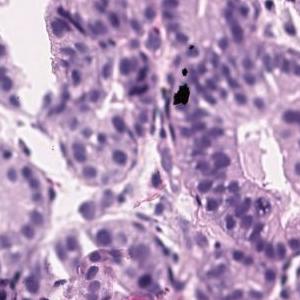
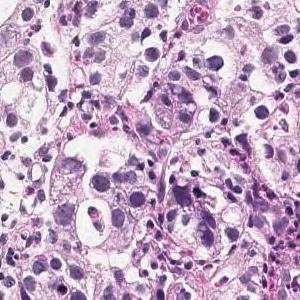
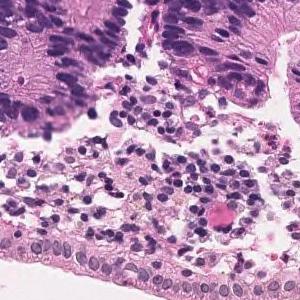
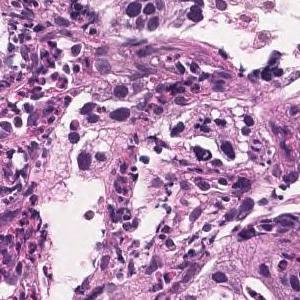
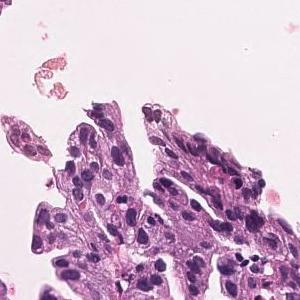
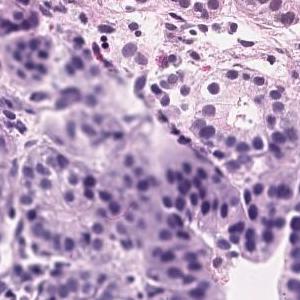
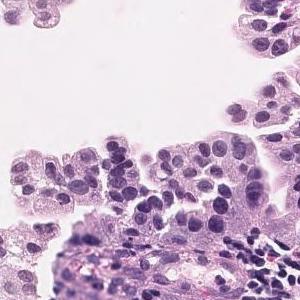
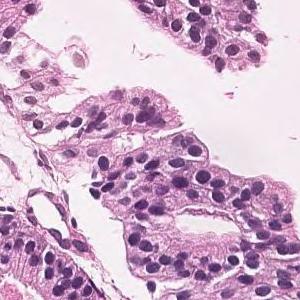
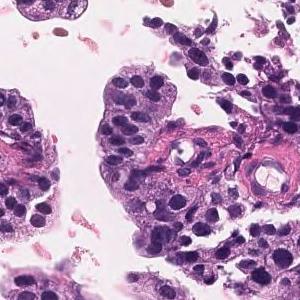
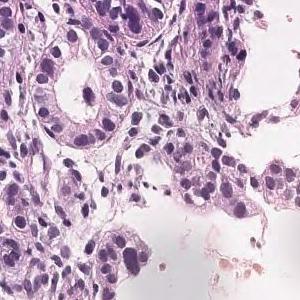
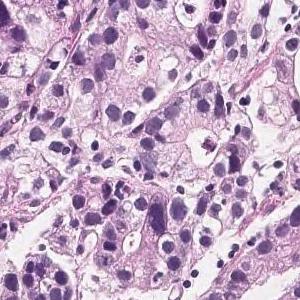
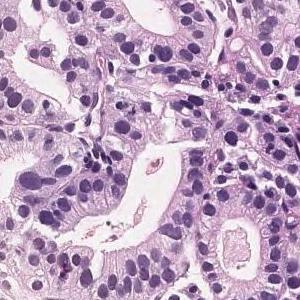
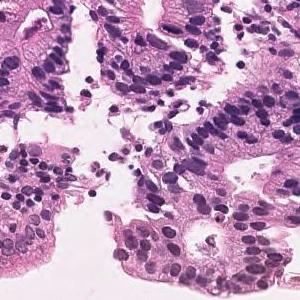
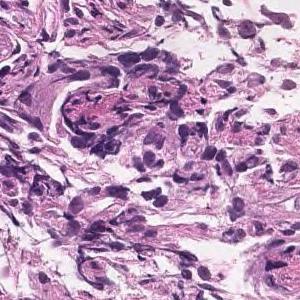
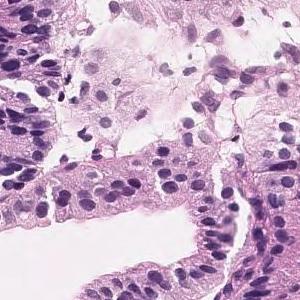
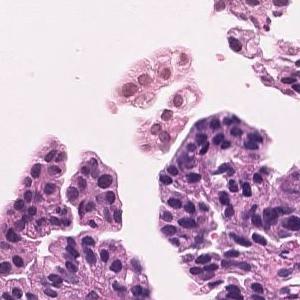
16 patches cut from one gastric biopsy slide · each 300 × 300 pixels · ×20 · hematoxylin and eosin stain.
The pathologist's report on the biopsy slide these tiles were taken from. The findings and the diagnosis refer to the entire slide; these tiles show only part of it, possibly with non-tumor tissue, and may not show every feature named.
In the superficial epithelium, tumor tissue that invades by forming medium-sized to small, irregular ducts is observed. moderately differentiated tubular adenocarcinoma.
